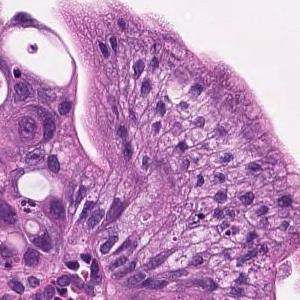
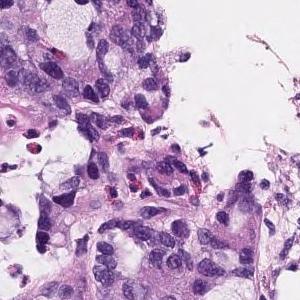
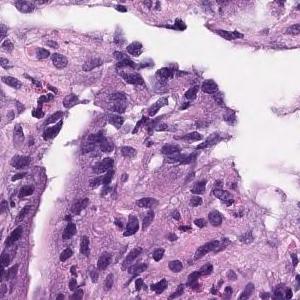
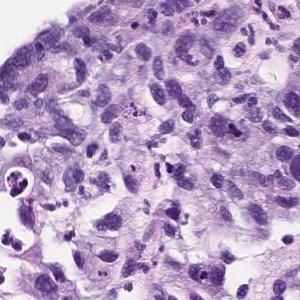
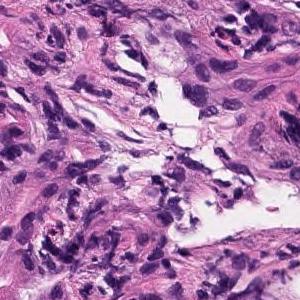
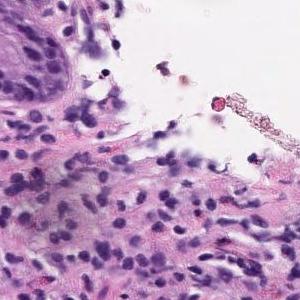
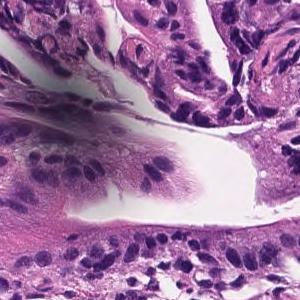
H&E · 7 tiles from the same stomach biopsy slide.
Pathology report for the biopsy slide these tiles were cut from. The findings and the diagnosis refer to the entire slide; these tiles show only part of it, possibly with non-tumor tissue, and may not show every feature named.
moderately differentiated tubular adenocarcinoma, Poorly differentiated adenocarcinoma
Labeled in the dataset as poorly differentiated adenocarcinoma, solid type, a category of the Japanese Classification of Gastric Carcinoma; in the WHO 2019 classification it is tubular adenocarcinoma, poorly differentiated.
